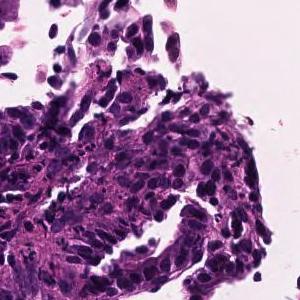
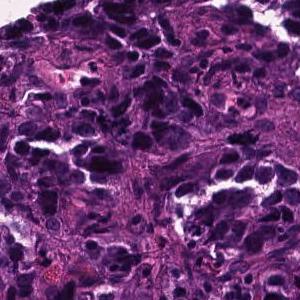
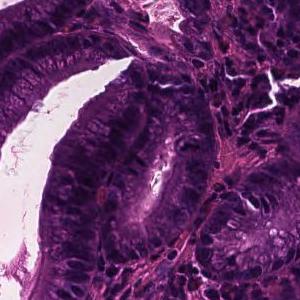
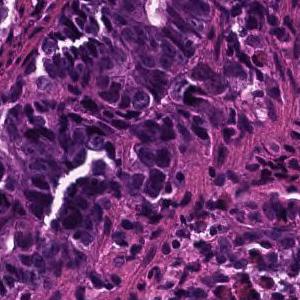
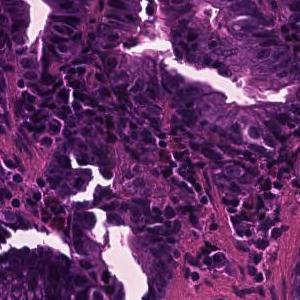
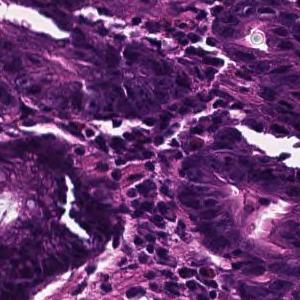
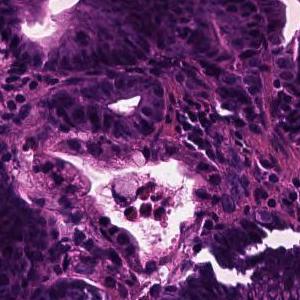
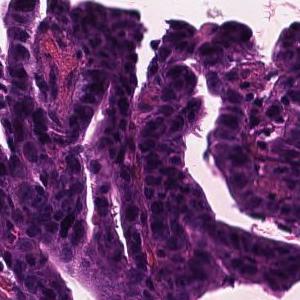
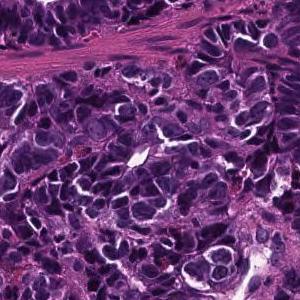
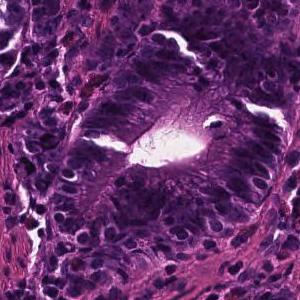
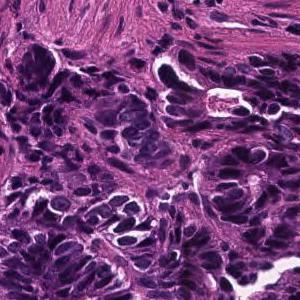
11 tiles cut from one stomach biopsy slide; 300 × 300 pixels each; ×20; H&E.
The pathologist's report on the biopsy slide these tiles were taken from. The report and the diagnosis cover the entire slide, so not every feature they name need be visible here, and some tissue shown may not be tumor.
In the superficial epithelium, tumor tissue that invades by forming medium-sized to small, irregular ducts is observed. moderately differentiated tubular adenocarcinoma.
